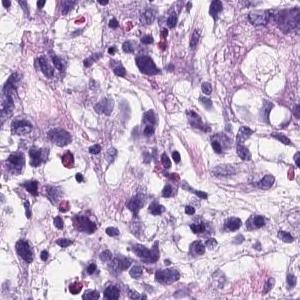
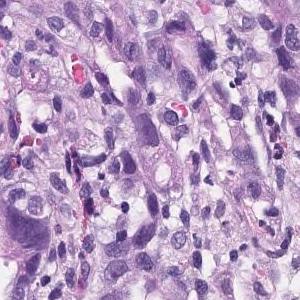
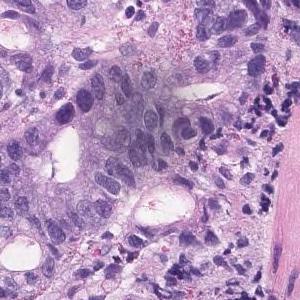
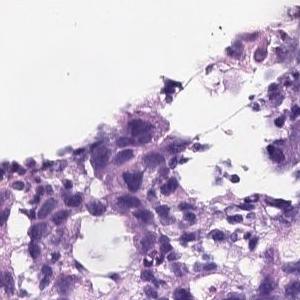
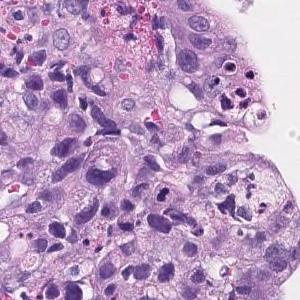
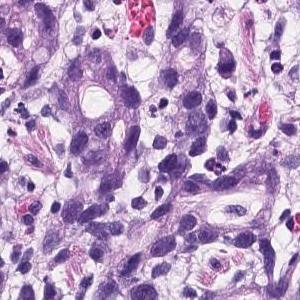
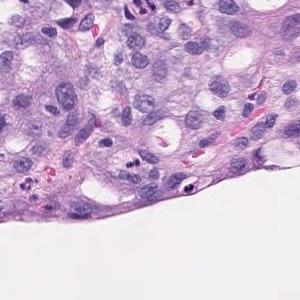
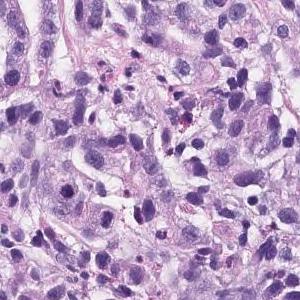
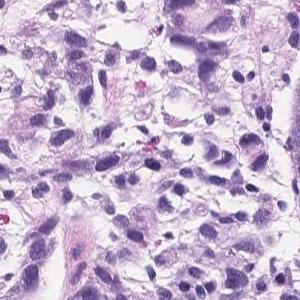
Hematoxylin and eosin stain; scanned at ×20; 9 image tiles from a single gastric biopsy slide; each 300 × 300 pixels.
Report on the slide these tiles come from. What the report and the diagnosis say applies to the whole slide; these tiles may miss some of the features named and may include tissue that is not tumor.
There are atypical l cells with atypical nuclei forming cord-like or irregular atypical ducts from solidity and proliferating in a comprehensive manner. Poorly differentiated adenocarcinoma, Moderately differentiated adenocarcinoma (poorly differentiated adenocarcinoma, solid type moderately differentiated tubular adenocarcinoma)
Subtype: Moderately to poorly differentiated adenocarcinoma.
The term "solid type" comes from the Japanese Classification of Gastric Carcinoma; the WHO 2019 equivalent is tubular adenocarcinoma, poorly differentiated.
